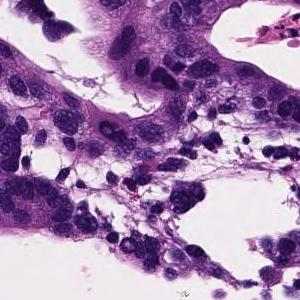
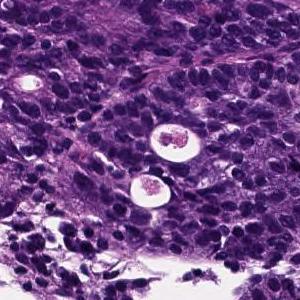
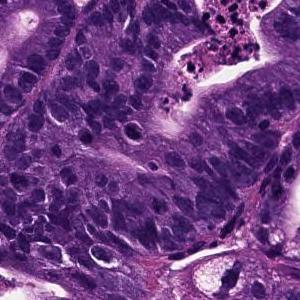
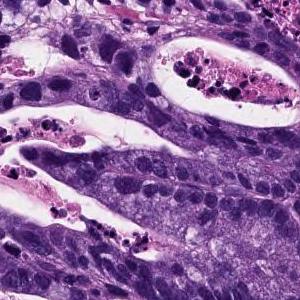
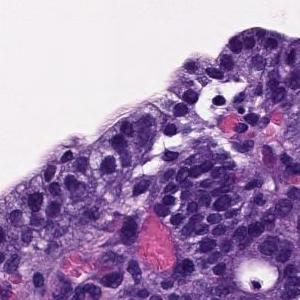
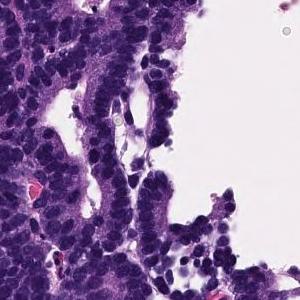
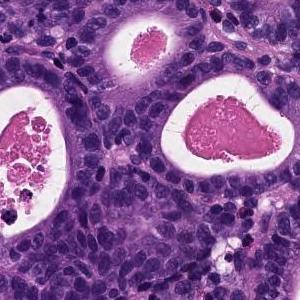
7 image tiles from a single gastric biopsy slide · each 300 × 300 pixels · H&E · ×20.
Pathology report for the slide these tiles were cut from. What the report and the diagnosis say applies to the whole slide; these tiles may miss some of the features named and may include tissue that is not tumor.
From the superficial epithelium to the muscularis mucosae, tumor tissue consisting of medium-sized and irregular glandular ducts infiltrating is observed. Well differentiated tubular adenocarcinoma
